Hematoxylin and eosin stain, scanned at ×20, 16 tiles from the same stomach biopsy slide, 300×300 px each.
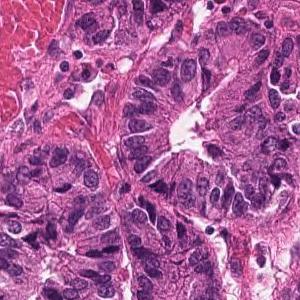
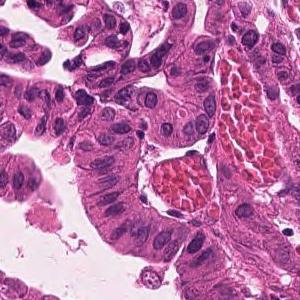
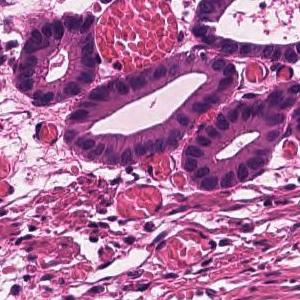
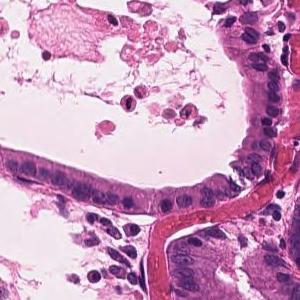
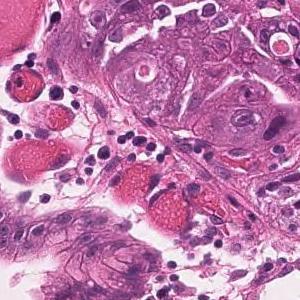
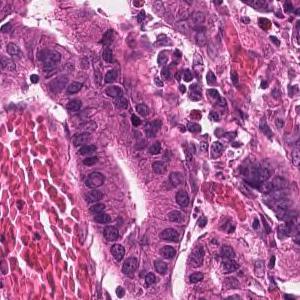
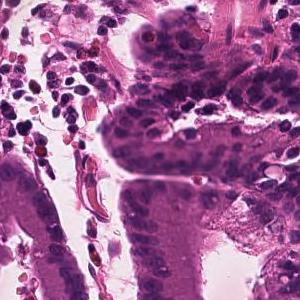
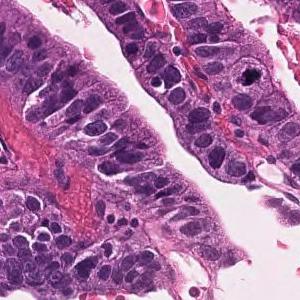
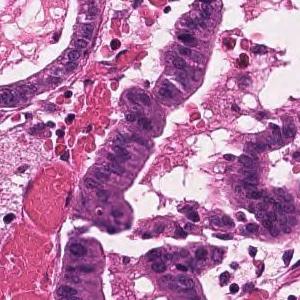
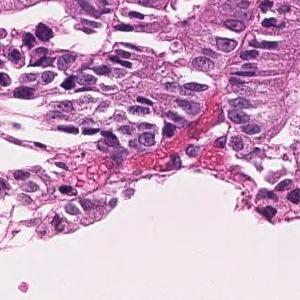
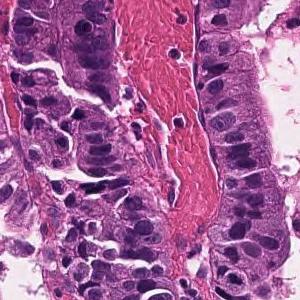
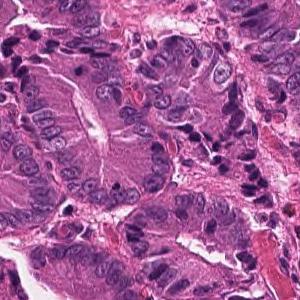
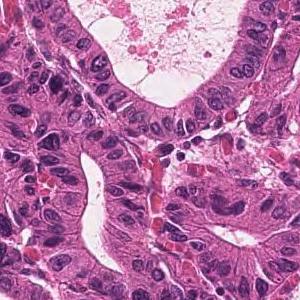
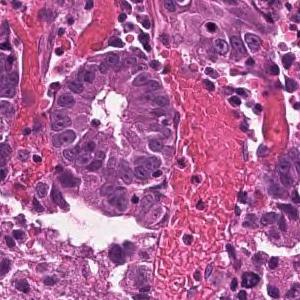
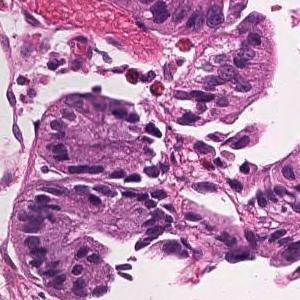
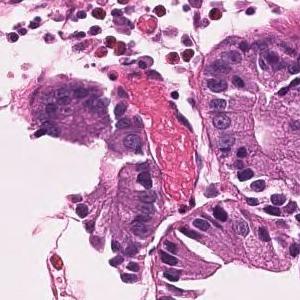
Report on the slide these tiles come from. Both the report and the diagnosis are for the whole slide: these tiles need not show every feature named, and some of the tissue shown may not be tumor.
Infiltrating tumor tissue with medium-sized, irregular ductal structure or large papillary appearance is observed. Well differentiated tubular adenocarcinoma
